H&E · scanned at ×20 · 7 tiles from the same stomach biopsy slide · 300×300 px each.
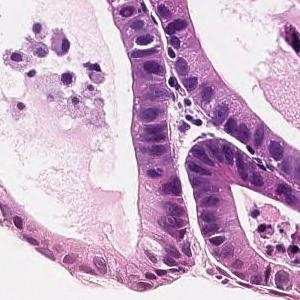
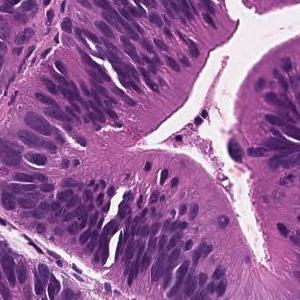
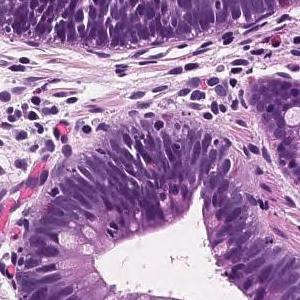
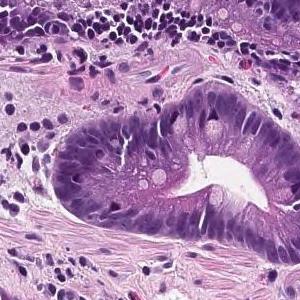
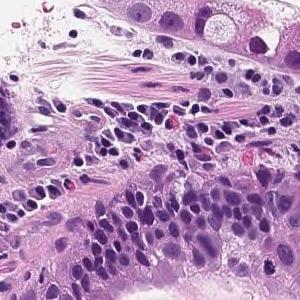
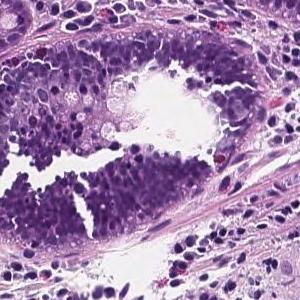
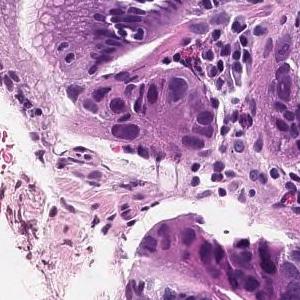
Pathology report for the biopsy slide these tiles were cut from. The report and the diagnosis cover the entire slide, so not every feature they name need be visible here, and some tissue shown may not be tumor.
From the superficial epithelium to the muscularis mucosae, tumor tissue consisting of medium-sized and irregular glandular ducts infiltrating is observed. Well differentiated tubular adenocarcinoma
